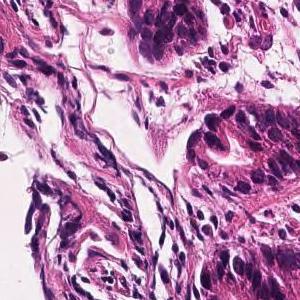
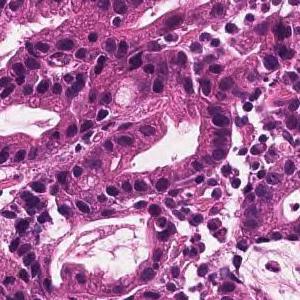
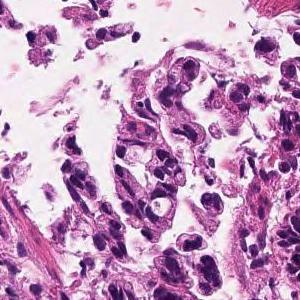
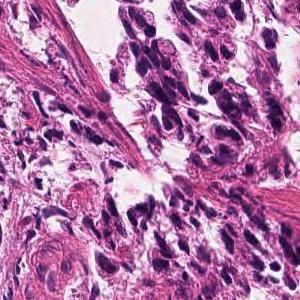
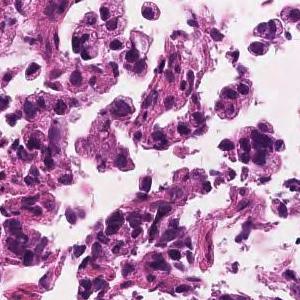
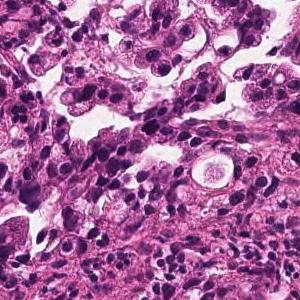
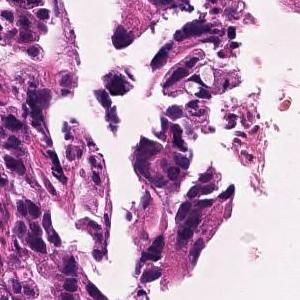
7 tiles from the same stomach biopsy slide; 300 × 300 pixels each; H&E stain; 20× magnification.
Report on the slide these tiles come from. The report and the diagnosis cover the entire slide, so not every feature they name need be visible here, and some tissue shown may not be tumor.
In the superficial epithelium, tumor tissue that invades by forming medium-sized to small, irregular ducts is observed. moderately differentiated tubular adenocarcinoma.
